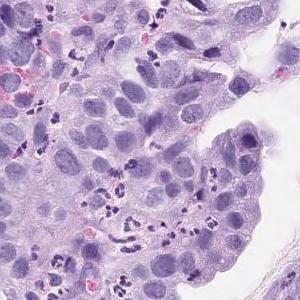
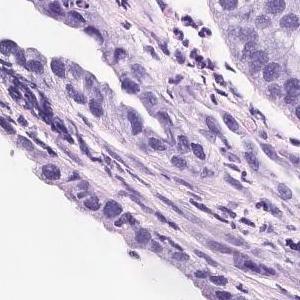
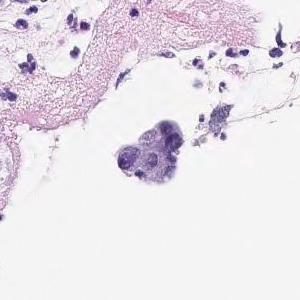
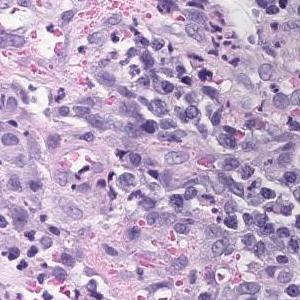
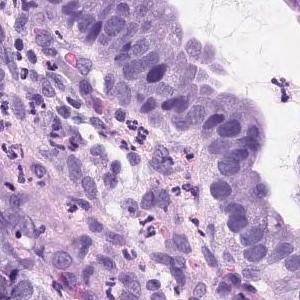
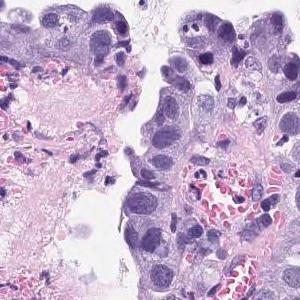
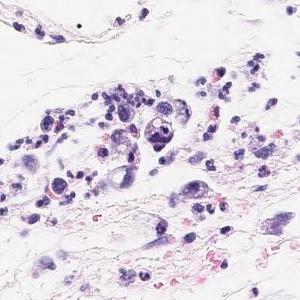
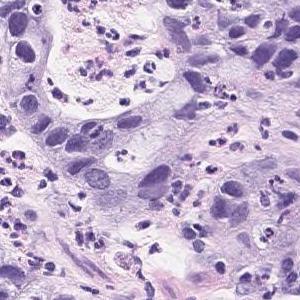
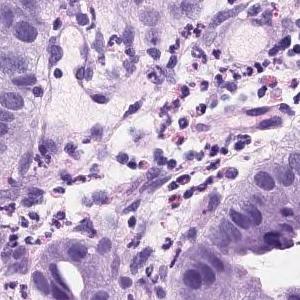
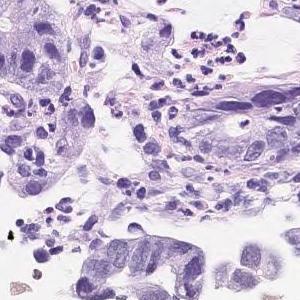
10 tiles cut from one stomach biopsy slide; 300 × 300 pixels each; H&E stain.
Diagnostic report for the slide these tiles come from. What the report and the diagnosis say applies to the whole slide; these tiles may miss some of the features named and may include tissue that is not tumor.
Atypical l cells with atypical nuclei forming solid or diffuse vesicles or small irregular atypical ducts and growing in a complex manner. Well differentiated tubular adenocarcinoma
